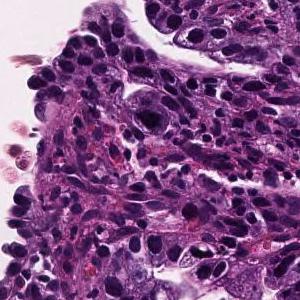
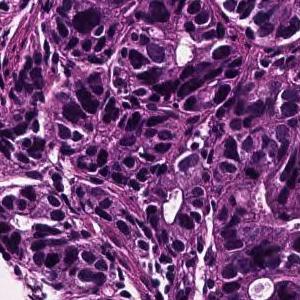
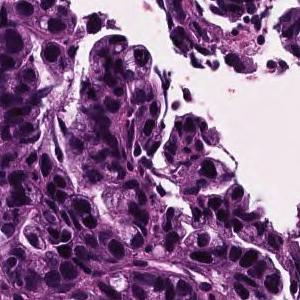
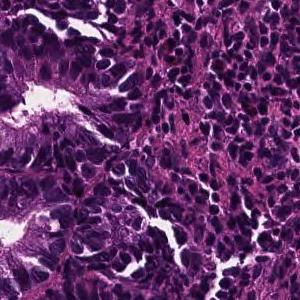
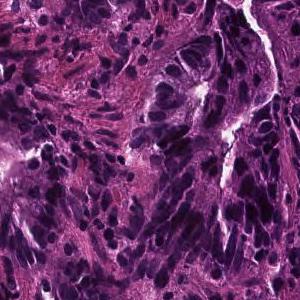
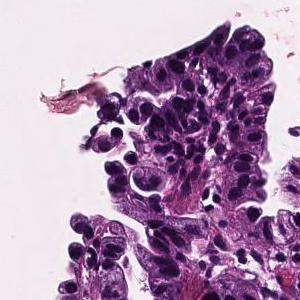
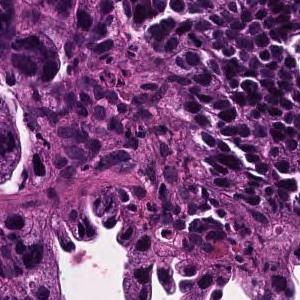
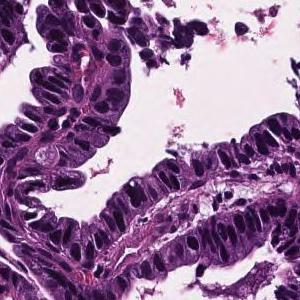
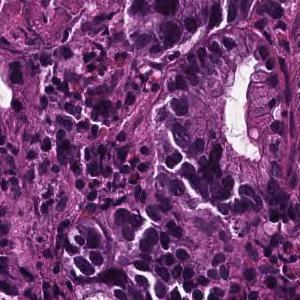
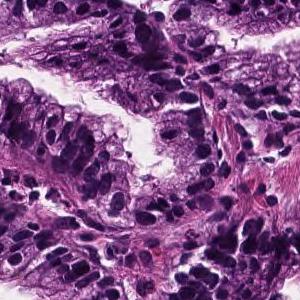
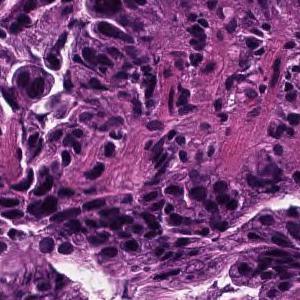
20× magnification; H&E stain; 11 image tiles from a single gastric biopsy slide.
The pathologist's report on the biopsy slide these tiles were taken from. The report and the diagnosis cover the entire slide, so not every feature they name need be visible here, and some tissue shown may not be tumor.
In the superficial epithelium, tumor tissue that invades by forming medium-sized to small, irregular ducts is observed. Well differentiated tubular adenocarcinoma.
